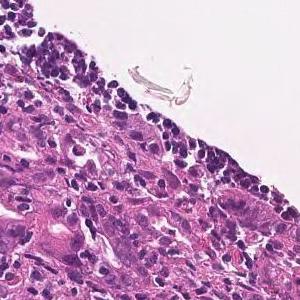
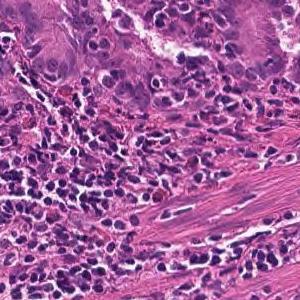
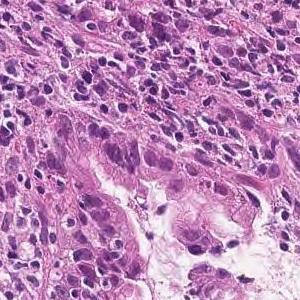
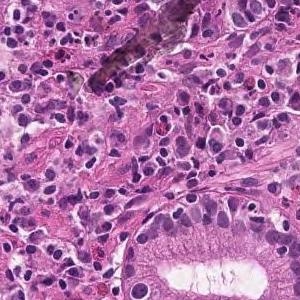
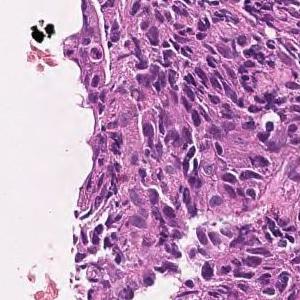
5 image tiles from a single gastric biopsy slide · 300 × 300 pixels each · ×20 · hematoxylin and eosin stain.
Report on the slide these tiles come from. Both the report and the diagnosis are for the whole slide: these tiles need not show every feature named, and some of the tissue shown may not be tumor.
Tumor tissue consisting of medium-sized, cord-like or irregular glandular infiltration is observed in the superficial epithelium. Poorly differentiated adenocarcinoma, non-solid type or moderately differentiated tubular adenocarcinoma
Labeled in the dataset as poorly differentiated adenocarcinoma, non-solid type.
"Non-solid type" is a category of the Japanese Classification of Gastric Carcinoma.
